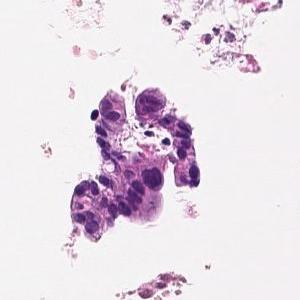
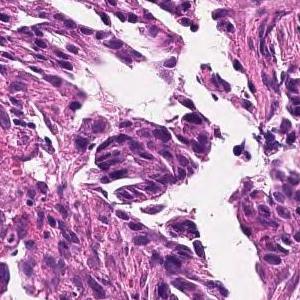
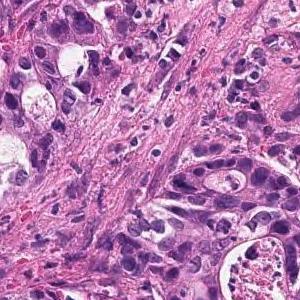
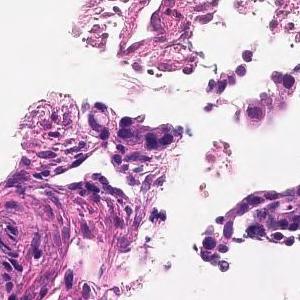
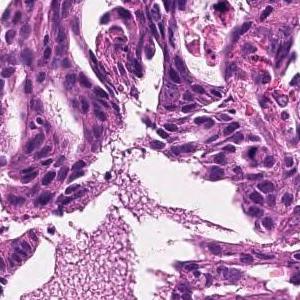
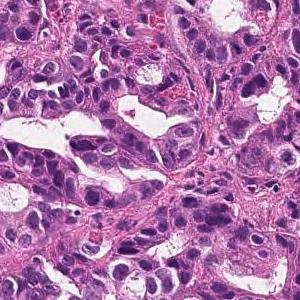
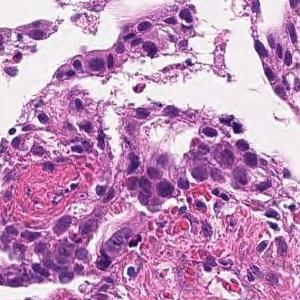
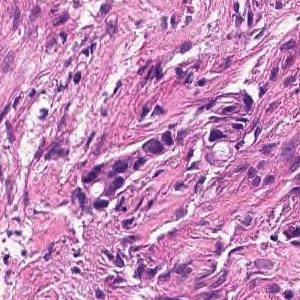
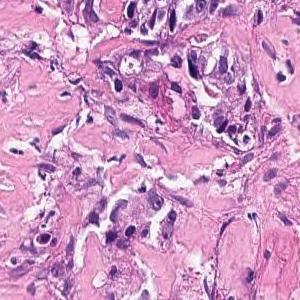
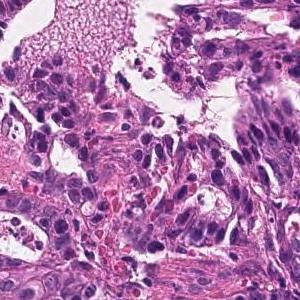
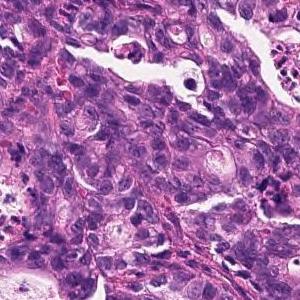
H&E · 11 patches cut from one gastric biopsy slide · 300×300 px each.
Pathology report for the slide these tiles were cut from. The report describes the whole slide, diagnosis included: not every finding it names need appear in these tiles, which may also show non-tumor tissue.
On the superficial epithelium, tumor tissue consisting of images of small to medium-sized and irregular tubules infiltrating with irregular fusion is observed. moderately differentiated tubular adenocarcinoma
